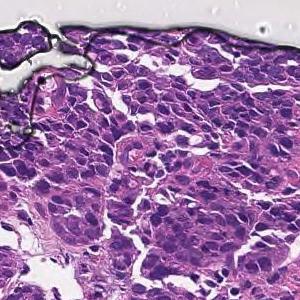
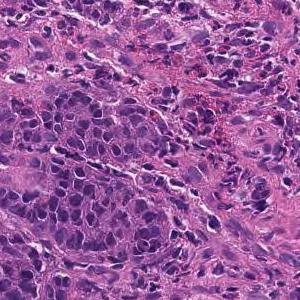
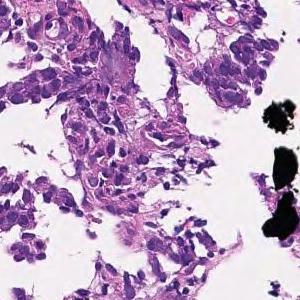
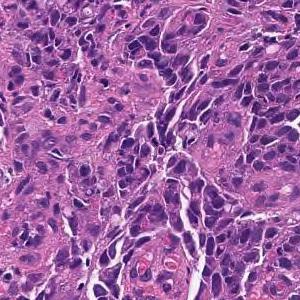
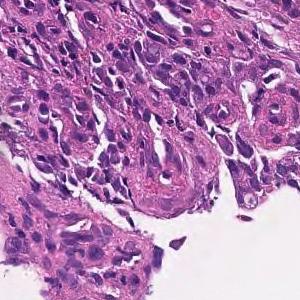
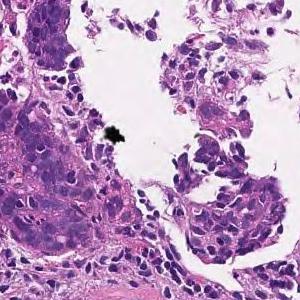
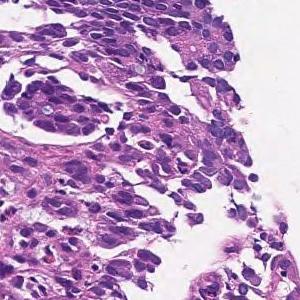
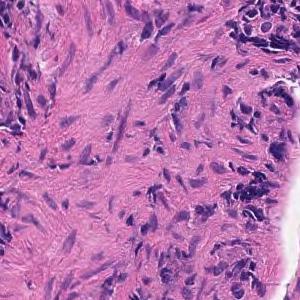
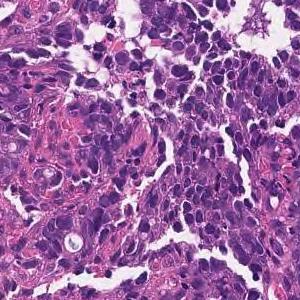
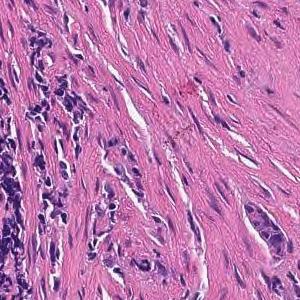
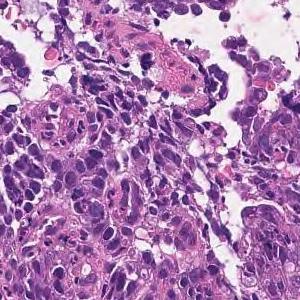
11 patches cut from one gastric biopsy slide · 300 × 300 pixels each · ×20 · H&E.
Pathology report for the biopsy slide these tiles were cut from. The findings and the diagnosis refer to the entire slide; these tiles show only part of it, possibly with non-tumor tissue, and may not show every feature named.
Tumor tissue consisting of cord-like or small, irregular glandular ducts fused and infiltrated is observed in the superficial epithelium. Poorly differentiated adenocarcinoma, non-solid type
The non-solid type named here is a Japanese Classification of Gastric Carcinoma category.
